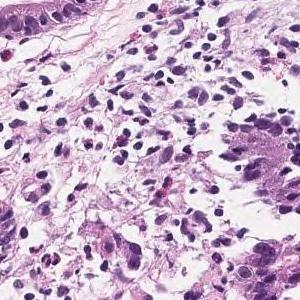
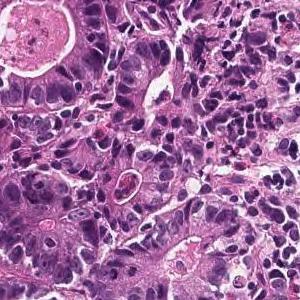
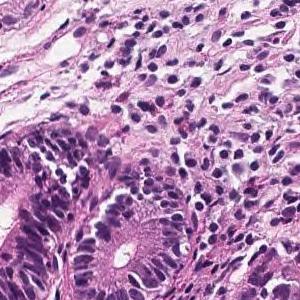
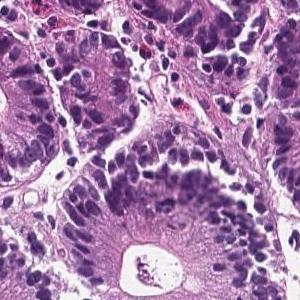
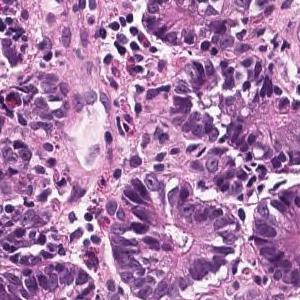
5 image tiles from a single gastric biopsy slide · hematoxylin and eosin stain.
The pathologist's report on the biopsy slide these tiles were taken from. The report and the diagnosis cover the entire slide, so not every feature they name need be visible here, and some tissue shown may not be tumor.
In the superficial epithelium, tumor tissue that invades by forming medium-sized to small, irregular ducts is observed. Moderately differentiated adenocarcinoma.
Subtype: Moderately differentiated tubular adenocarcinoma.
